5 tiles from the same stomach biopsy slide · hematoxylin and eosin stain.
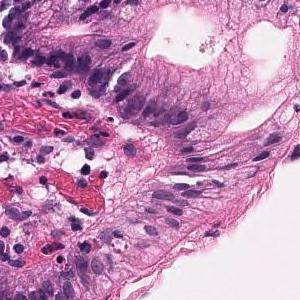
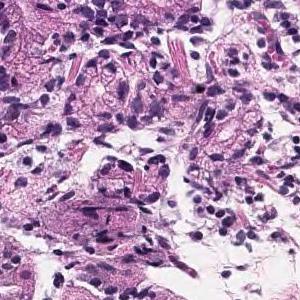
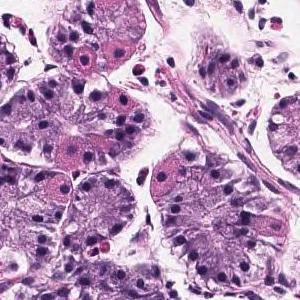
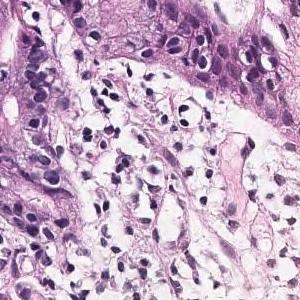
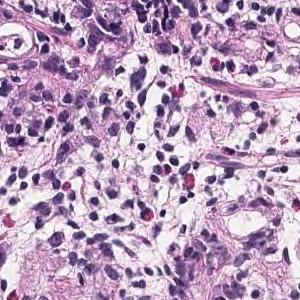
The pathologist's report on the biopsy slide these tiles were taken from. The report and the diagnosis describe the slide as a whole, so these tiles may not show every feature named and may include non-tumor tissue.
Tumor tissue that grows and grows is observed, showing a medium-sized round or irregular duct. moderately differentiated tubular adenocarcinoma
